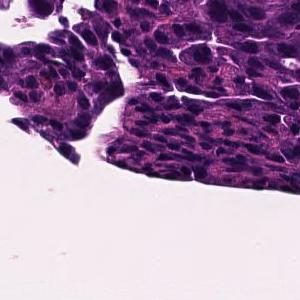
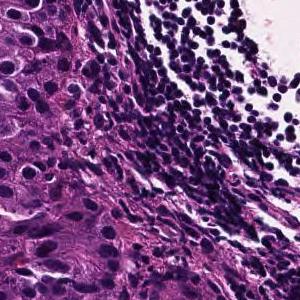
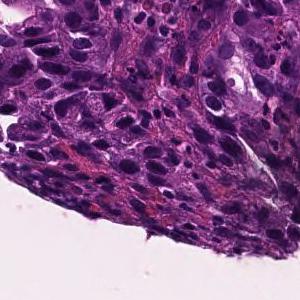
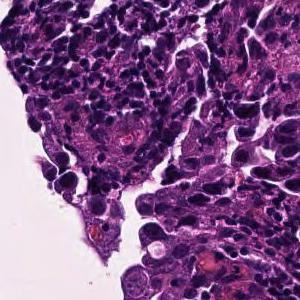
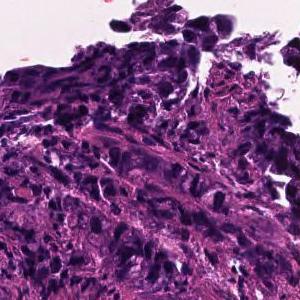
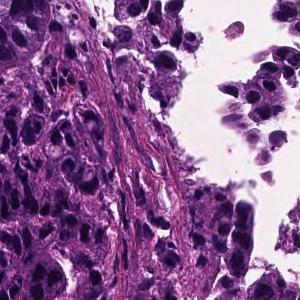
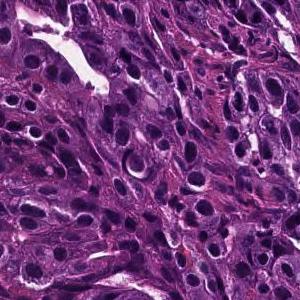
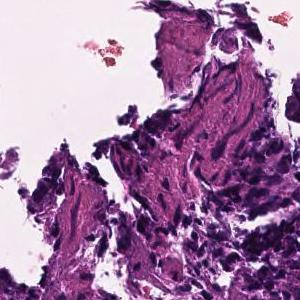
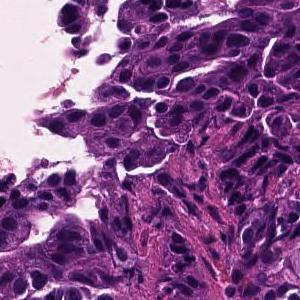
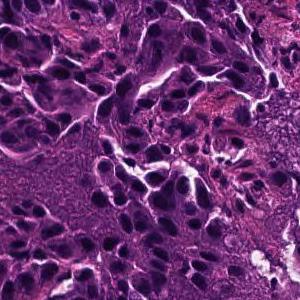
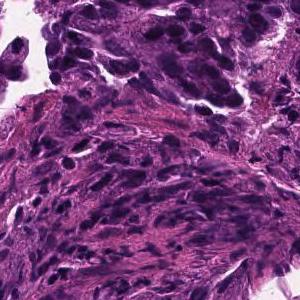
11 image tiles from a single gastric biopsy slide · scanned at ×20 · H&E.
Report on the slide these tiles come from. The report and the diagnosis describe the slide as a whole, so these tiles may not show every feature named and may include non-tumor tissue.
Tumor tissue consisting of medium-sized, cord-like or irregular glandular fusion and infiltration is observed in the superficial epithelium. Poorly differentiated adenocarcinoma, non-solid type or moderately differentiated tubular adenocarcinoma
Histologic type: Moderately to poorly differentiated adenocarcinoma.
"Non-solid type" is a category of the Japanese Classification of Gastric Carcinoma.
